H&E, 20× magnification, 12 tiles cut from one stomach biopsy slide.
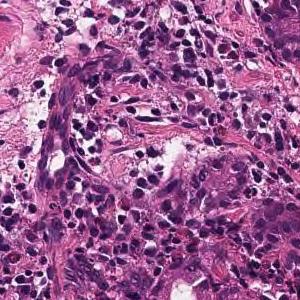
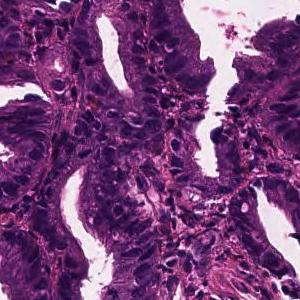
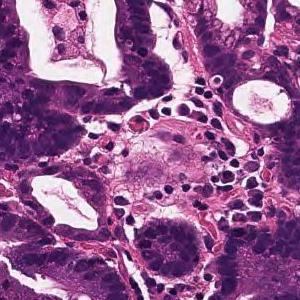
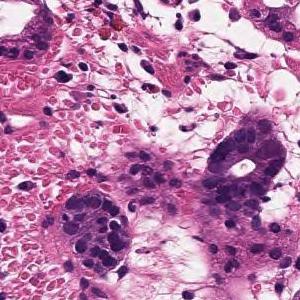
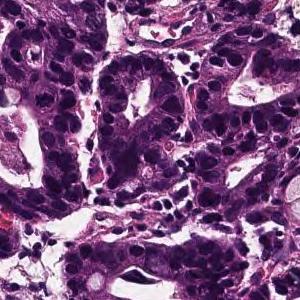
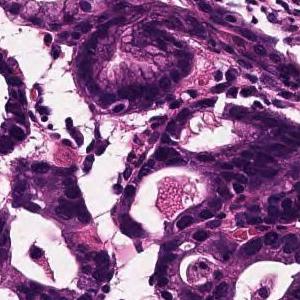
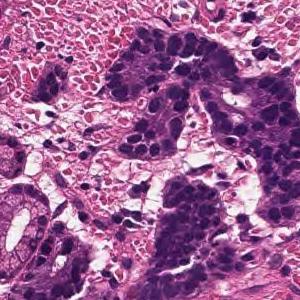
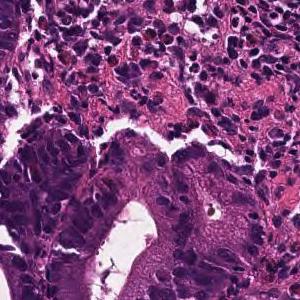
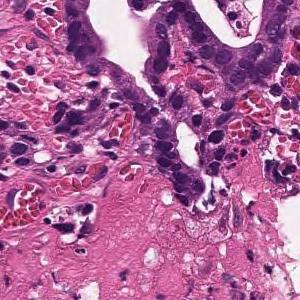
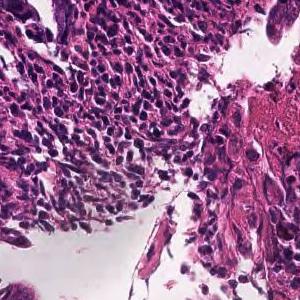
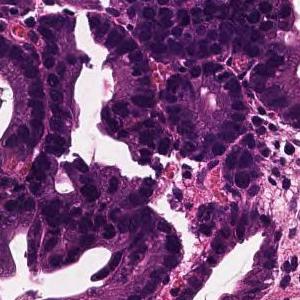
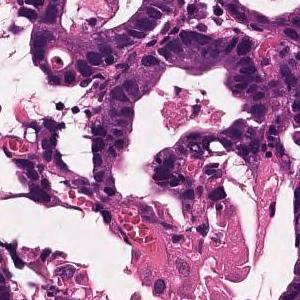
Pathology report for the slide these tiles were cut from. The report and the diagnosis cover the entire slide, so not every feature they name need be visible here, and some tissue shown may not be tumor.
On the superficial epithelium, tumor tissue consisting of medium-sized and irregular glandular ducts partially fused and infiltrated is observed. Well to moderately differentiated tubular adenocarcinoma (well differentiated tubular adenocarcinoma-moderately differentiated tubular adenocarcinoma)
Histologic type: Well to moderately differentiated tubular adenocarcinoma.
